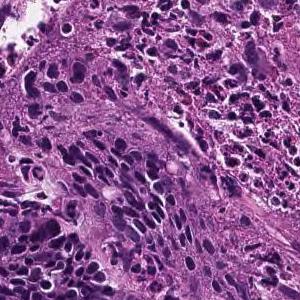
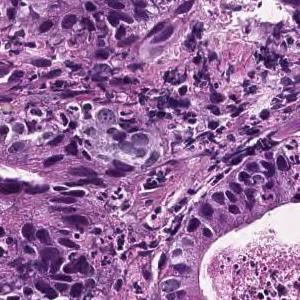
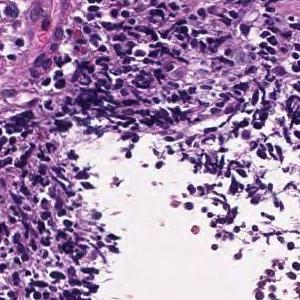
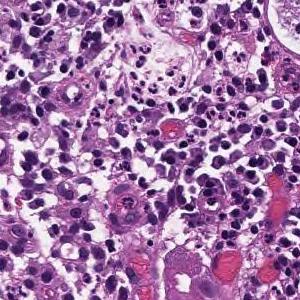
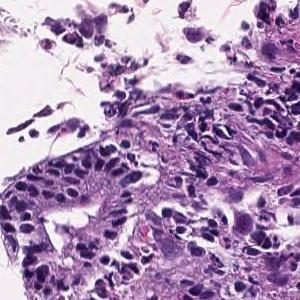
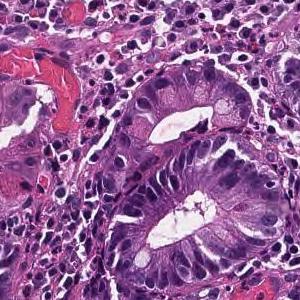
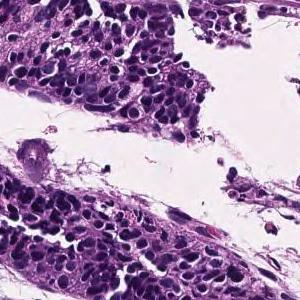
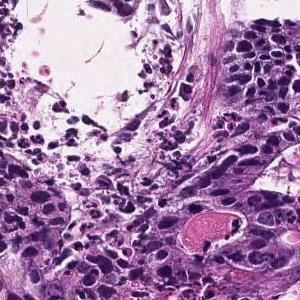
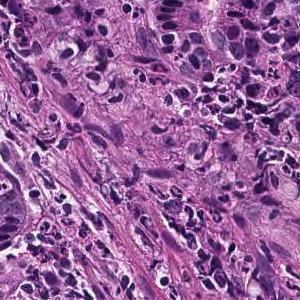
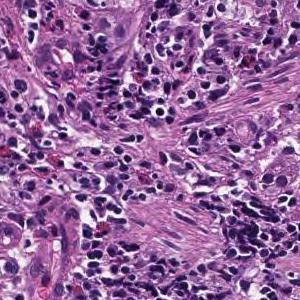
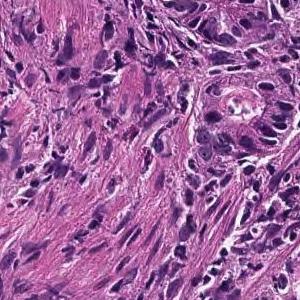
11 patches cut from one gastric biopsy slide; 20× magnification.
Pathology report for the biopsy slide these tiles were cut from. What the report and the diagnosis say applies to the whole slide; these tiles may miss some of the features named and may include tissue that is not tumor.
On the superficial epithelium, tumor tissue consisting of large, irregular glandular ducts partially fused and infiltrated is observed. Well to moderately differentiated tubular adenocarcinoma (well differentiated tubular adenocarcinoma, moderately differentiated tubular adenocarcinoma)
Histologic type: Well to moderately differentiated tubular adenocarcinoma.
